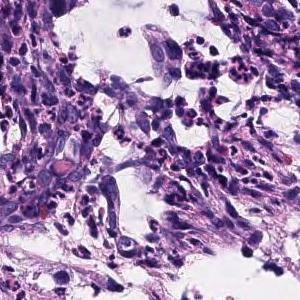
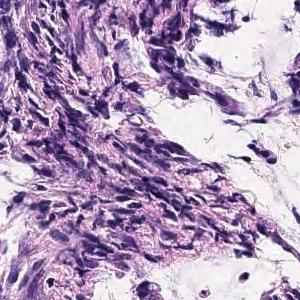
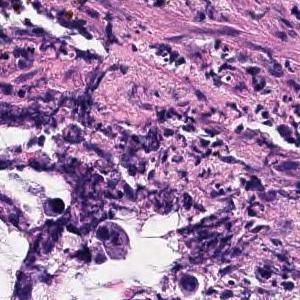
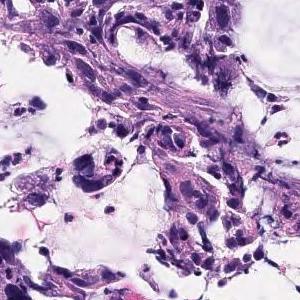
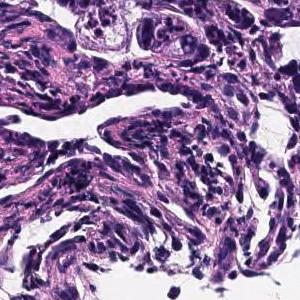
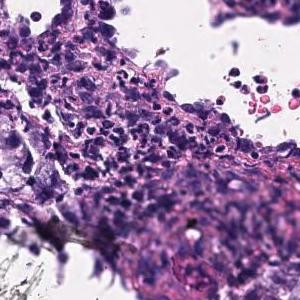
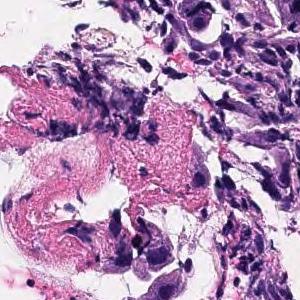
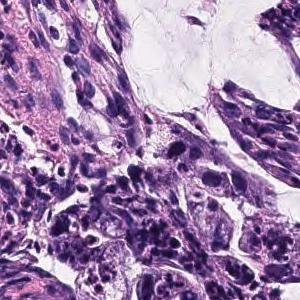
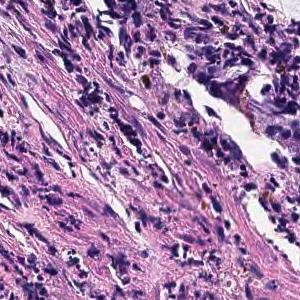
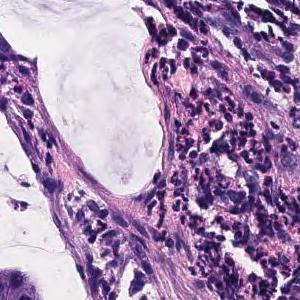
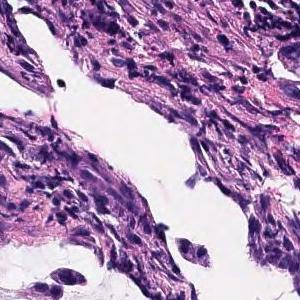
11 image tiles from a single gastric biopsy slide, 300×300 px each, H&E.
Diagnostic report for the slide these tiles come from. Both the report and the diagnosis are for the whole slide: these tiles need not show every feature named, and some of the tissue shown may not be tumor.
The superficial epithelium shows small cord-like infiltrating tumor tissue. Some part of neoplastic cells are signet ring cell type which show single invasion manner. Poorly differentiated adenocarcinoma, non-solid type.
The term "non-solid type" comes from the Japanese Classification of Gastric Carcinoma.
